H&E; ×20; 14 tiles cut from one stomach biopsy slide; 300 × 300 pixels each.
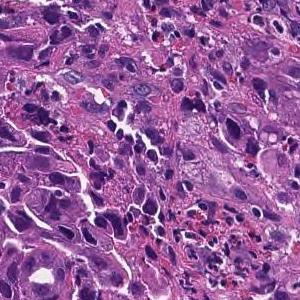
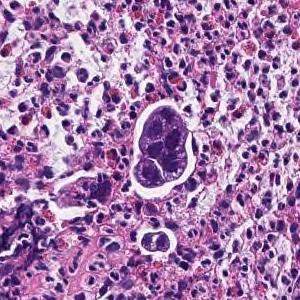
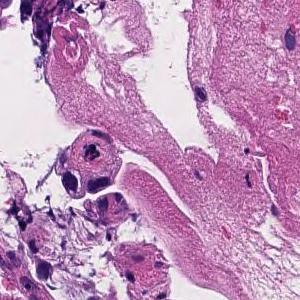
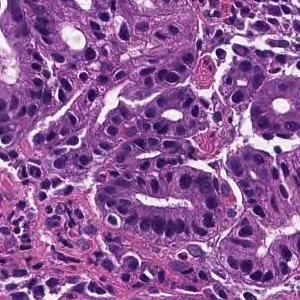
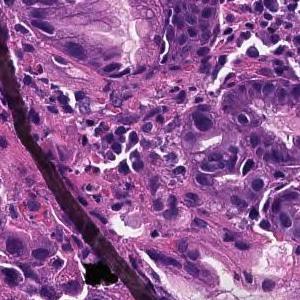
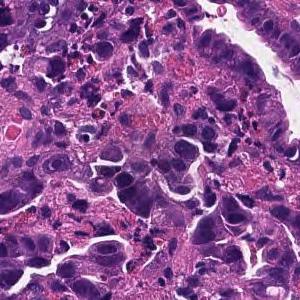
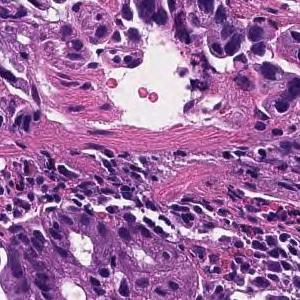
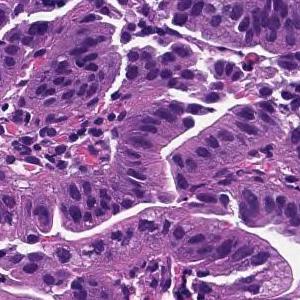
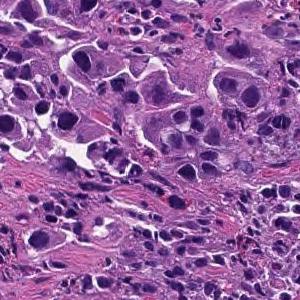
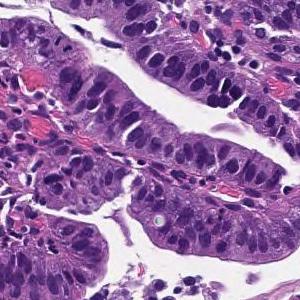
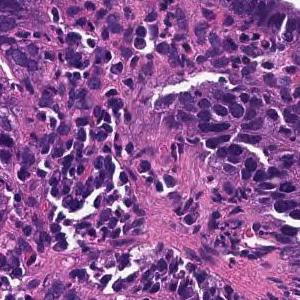
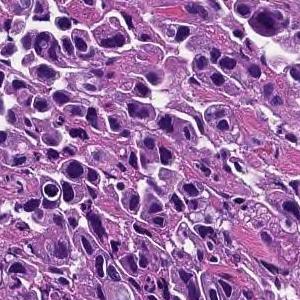
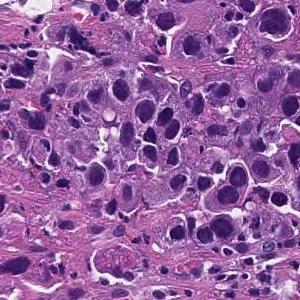
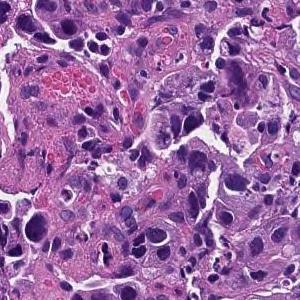
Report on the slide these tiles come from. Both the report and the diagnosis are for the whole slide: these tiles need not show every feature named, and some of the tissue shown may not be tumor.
Tumor tissue consisting of medium-sized, cord-like or irregular glandular infiltration is observed in the superficial epithelium. Poorly differentiated adenocarcinoma, non-solid type or moderately differentiated tubular adenocarcinoma
Classified as moderately to poorly differentiated adenocarcinoma.
The term "non-solid type" comes from the Japanese Classification of Gastric Carcinoma.
